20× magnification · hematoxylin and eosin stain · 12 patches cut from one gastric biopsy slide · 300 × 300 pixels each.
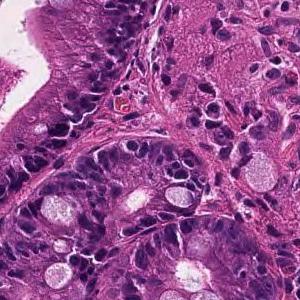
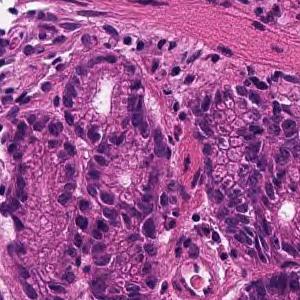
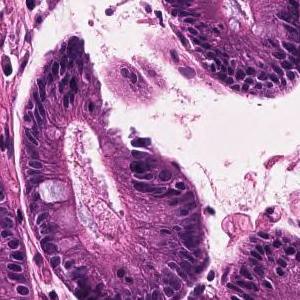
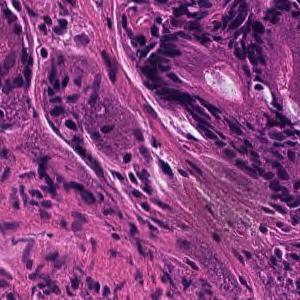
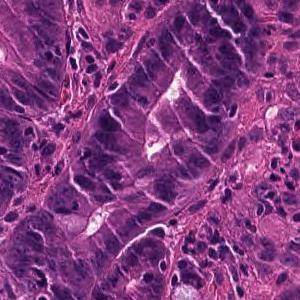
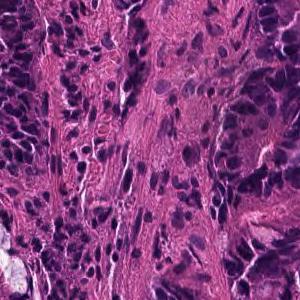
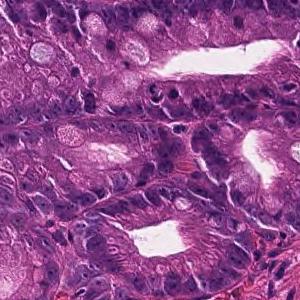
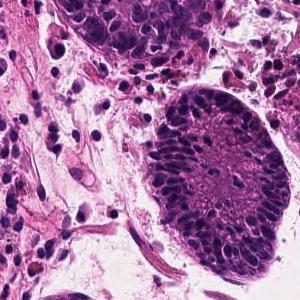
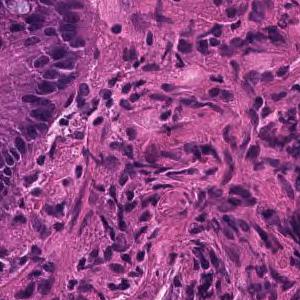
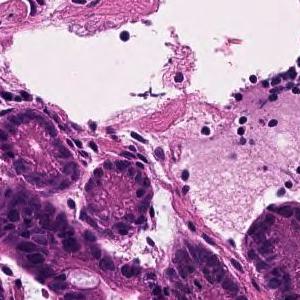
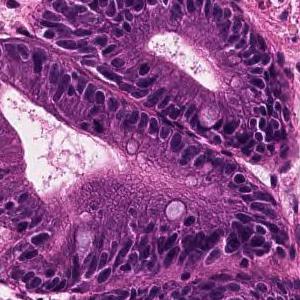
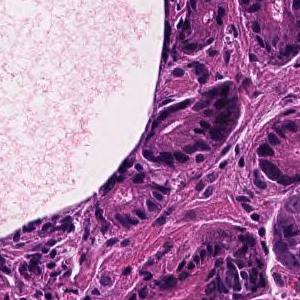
Pathology report for the biopsy slide these tiles were cut from. What the report and the diagnosis say applies to the whole slide; these tiles may miss some of the features named and may include tissue that is not tumor.
Medium to small, irregular glandular ducts are formed in the superficial epithelium, and in some cases, the glandular ducts are fused to show solid alveolar lesions and infiltrating tumor tissue is observed. Moderately to poorly differentiated adenocarcinoma.
